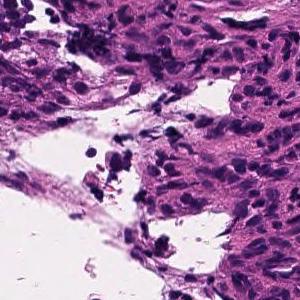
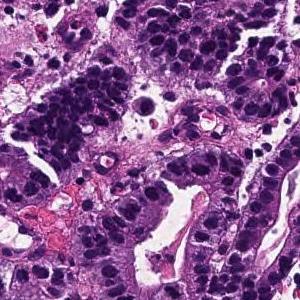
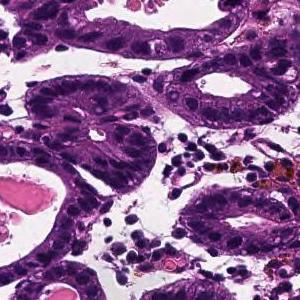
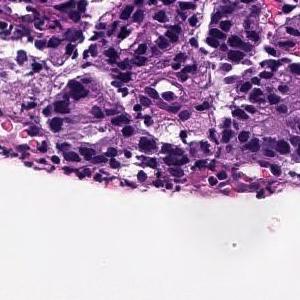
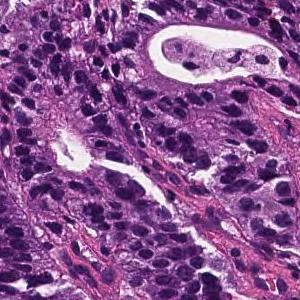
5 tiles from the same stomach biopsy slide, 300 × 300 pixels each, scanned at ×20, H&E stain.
The pathologist's report on the biopsy slide these tiles were taken from. The report describes the whole slide, diagnosis included: not every finding it names need appear in these tiles, which may also show non-tumor tissue.
From the superficial epithelium to the muscularis mucosae, tumor tissue consisting of medium-sized and irregular glandular ducts infiltrating is observed. Well differentiated tubular adenocarcinoma
